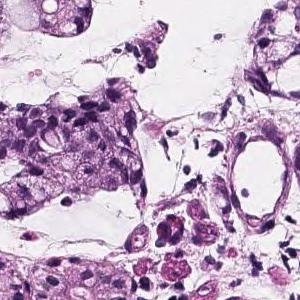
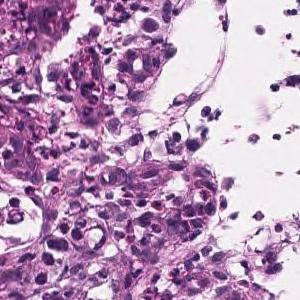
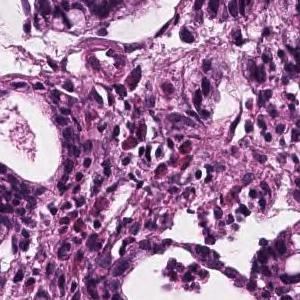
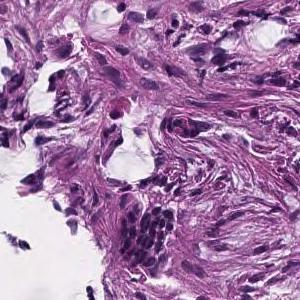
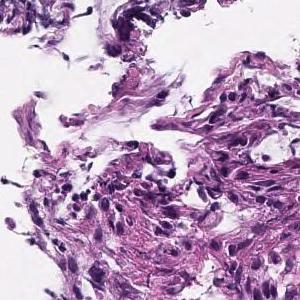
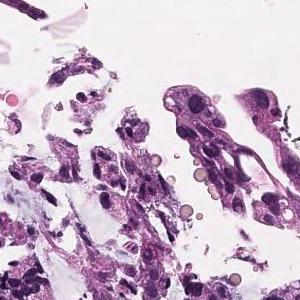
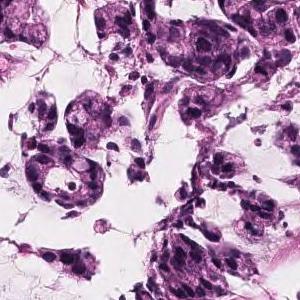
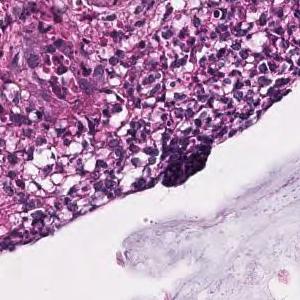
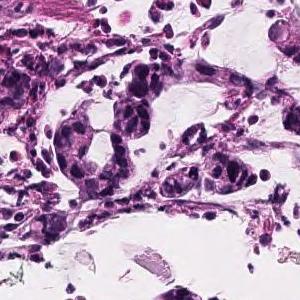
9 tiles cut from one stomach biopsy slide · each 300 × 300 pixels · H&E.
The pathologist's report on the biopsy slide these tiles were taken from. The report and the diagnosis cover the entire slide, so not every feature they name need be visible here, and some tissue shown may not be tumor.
Atypical epithelial cells form obscure ductal structures or small solid follicles, and tumor tissue that proliferates invasively with proliferation of inflammatory granulation tissue is observed. Mucinous adenocarcinoma .
